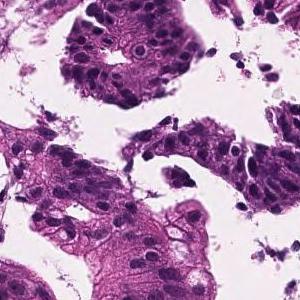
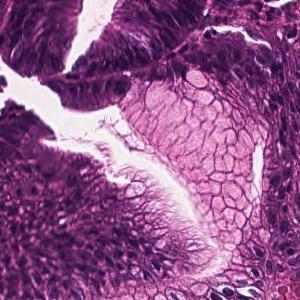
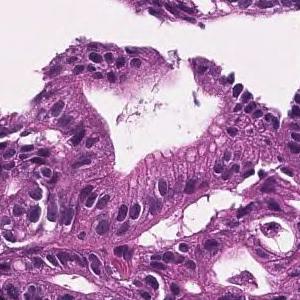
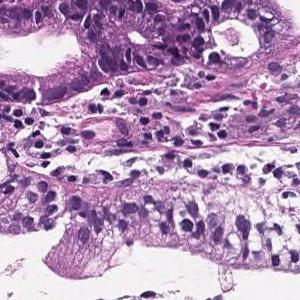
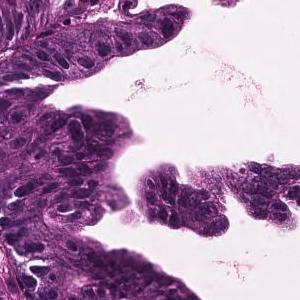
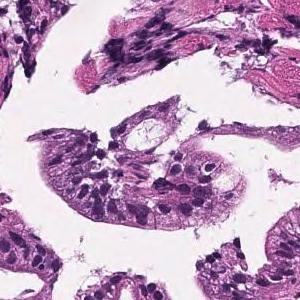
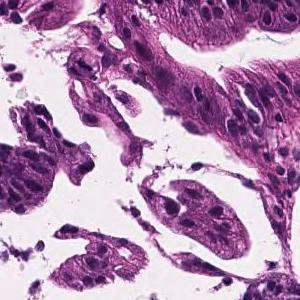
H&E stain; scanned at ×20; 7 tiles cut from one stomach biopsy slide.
Diagnostic report for the slide these tiles come from. The report and the diagnosis cover the entire slide, so not every feature they name need be visible here, and some tissue shown may not be tumor.
In the superficial epithelium, tumor tissue that invades by forming medium-sized to small, irregular ducts is observed. Well differentiated tubular adenocarcinoma.
